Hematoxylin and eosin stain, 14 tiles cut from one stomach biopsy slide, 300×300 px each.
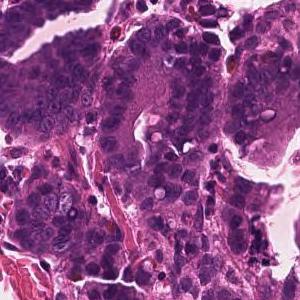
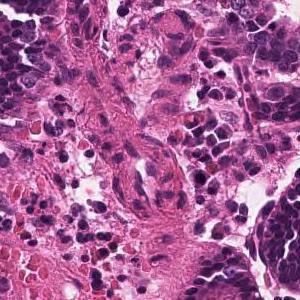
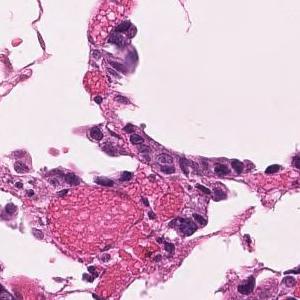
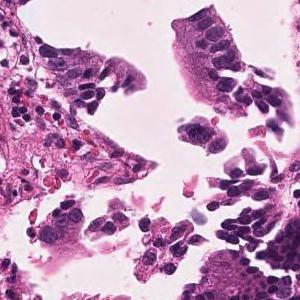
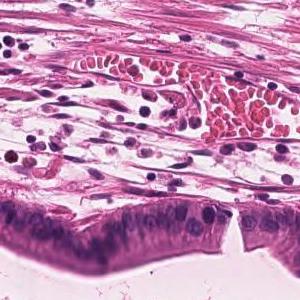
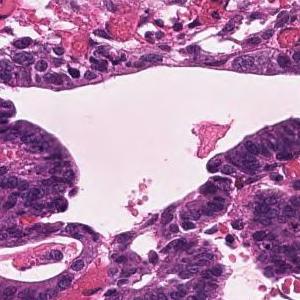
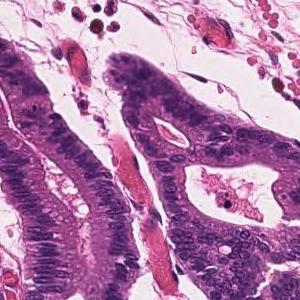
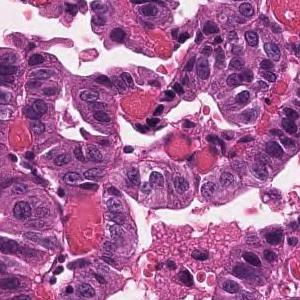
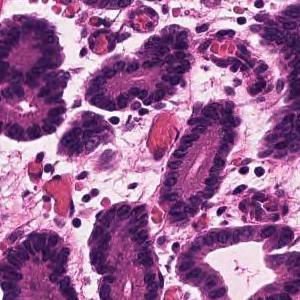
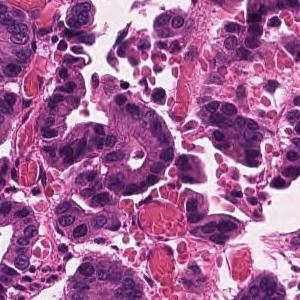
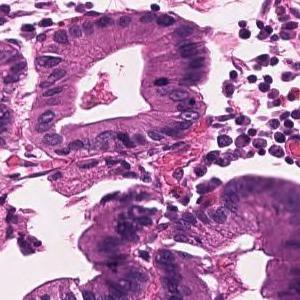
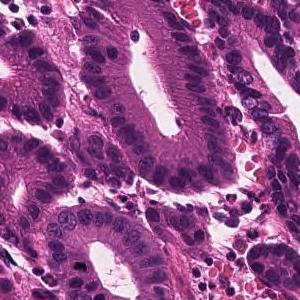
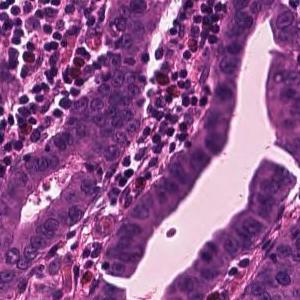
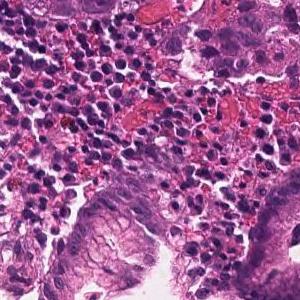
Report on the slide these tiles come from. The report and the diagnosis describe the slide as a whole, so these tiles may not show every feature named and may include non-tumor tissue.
Infiltrating tumor tissue with medium-sized, irregular ductal structure or large papillary appearance is observed. Well differentiated tubular adenocarcinoma
